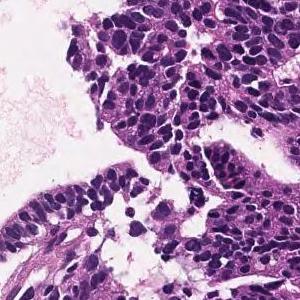
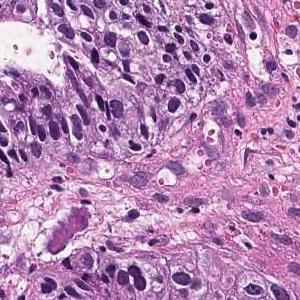
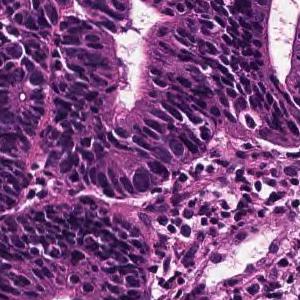
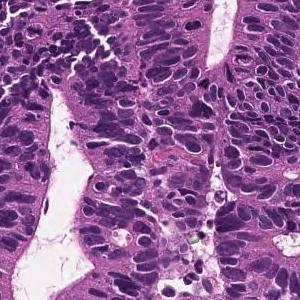
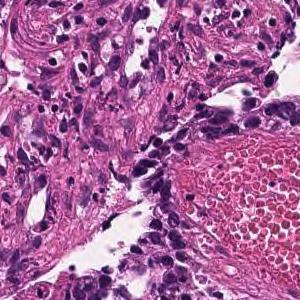
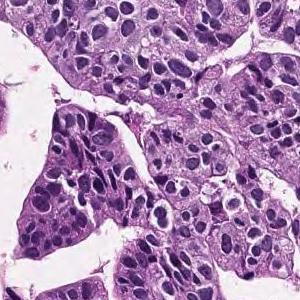
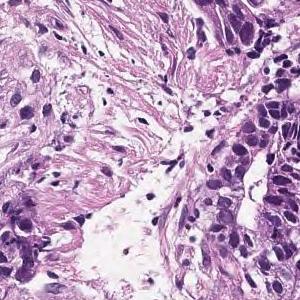
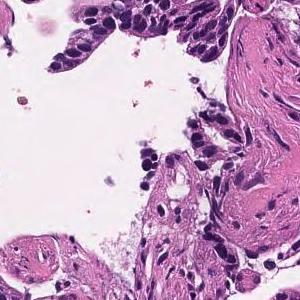
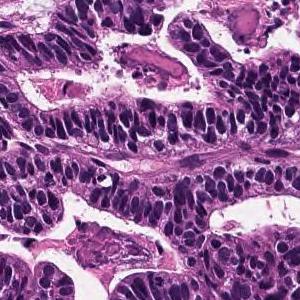
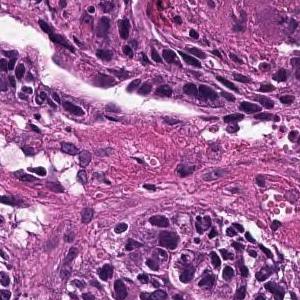
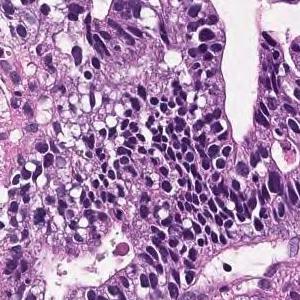
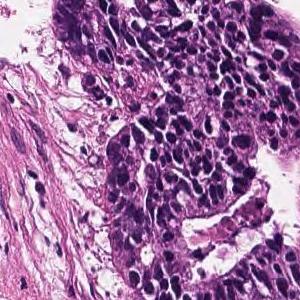
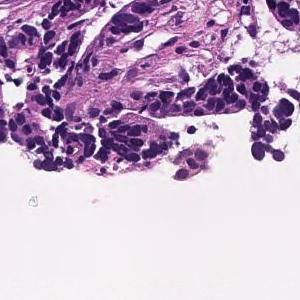
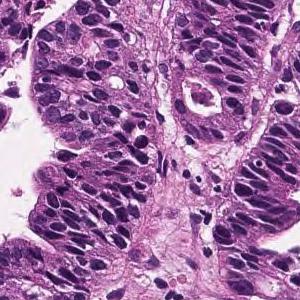
14 tiles cut from one stomach biopsy slide; H&E stain; 20× magnification.
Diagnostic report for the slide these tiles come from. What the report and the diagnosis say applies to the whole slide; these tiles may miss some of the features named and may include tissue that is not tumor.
In the superficial epithelium, tumor tissue that invades by forming medium-sized to small, irregular ducts is observed. Well differentiated tubular adenocarcinoma.
